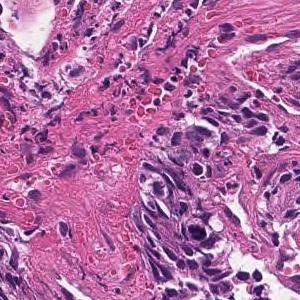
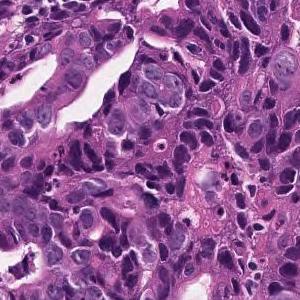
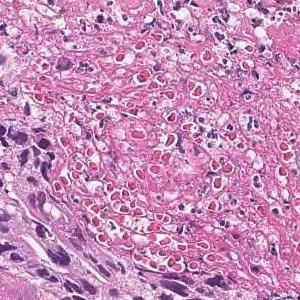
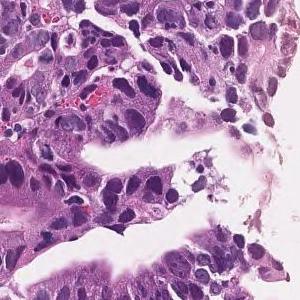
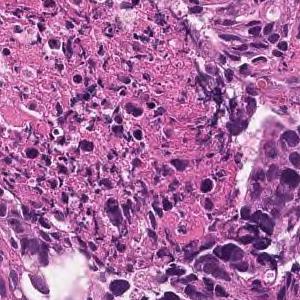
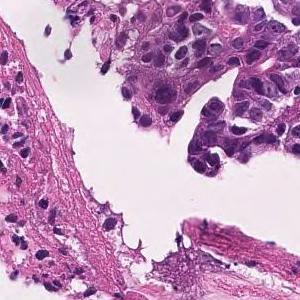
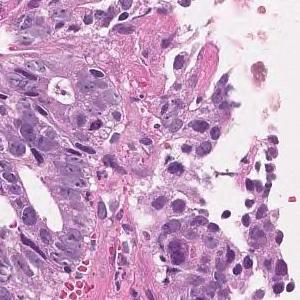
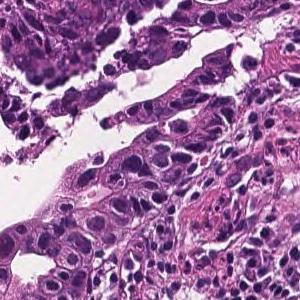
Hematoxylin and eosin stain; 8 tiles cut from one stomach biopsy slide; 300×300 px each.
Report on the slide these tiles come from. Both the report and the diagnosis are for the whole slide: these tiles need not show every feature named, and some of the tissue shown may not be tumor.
In the superficial epithelium, tumor tissue that invades by forming medium-sized to small, irregular ducts is observed. moderately differentiated tubular adenocarcinoma.
